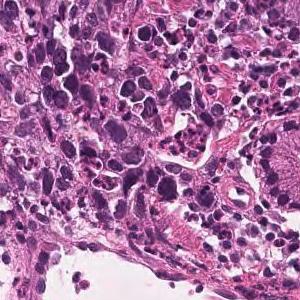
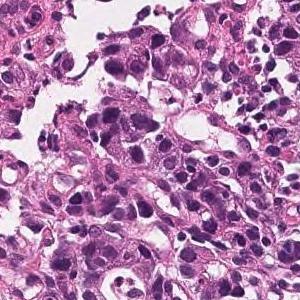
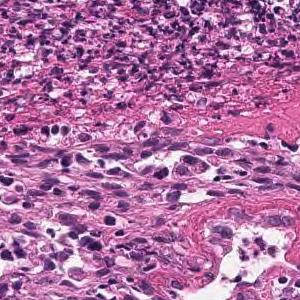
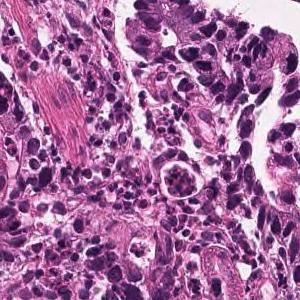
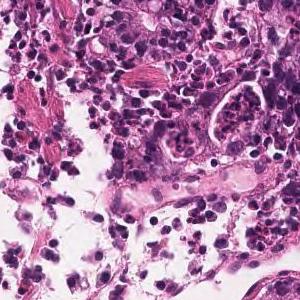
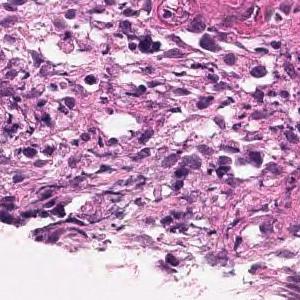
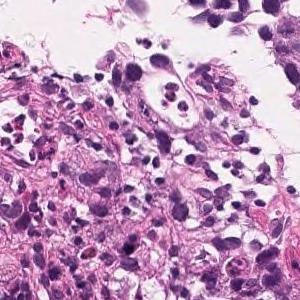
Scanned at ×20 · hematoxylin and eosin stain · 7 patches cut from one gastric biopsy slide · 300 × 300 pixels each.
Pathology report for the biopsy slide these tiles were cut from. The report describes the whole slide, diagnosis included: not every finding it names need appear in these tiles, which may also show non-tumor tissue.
In the superficial epithelium, tumor tissue that invades by forming medium-sized to small, irregular ducts is observed. Moderately differentiated adenocarcinoma.
Classified as moderately differentiated tubular adenocarcinoma.
